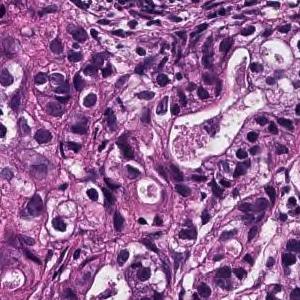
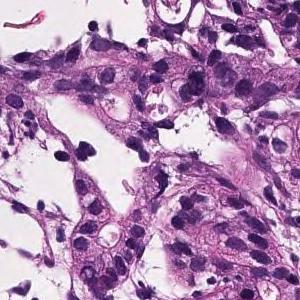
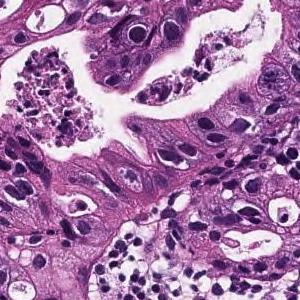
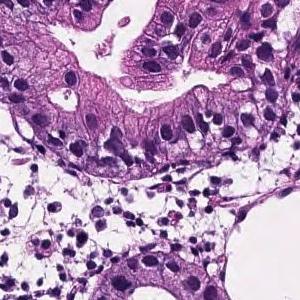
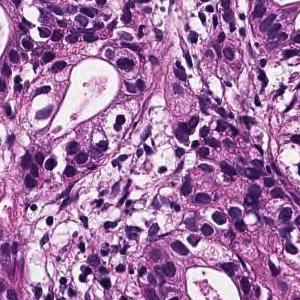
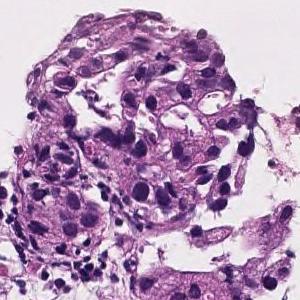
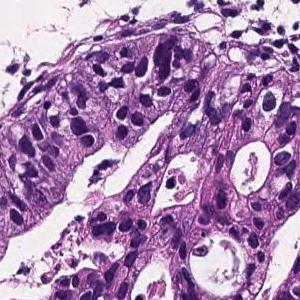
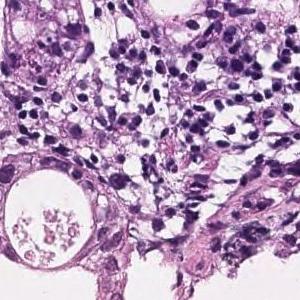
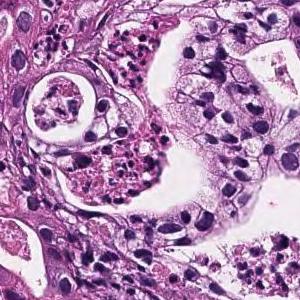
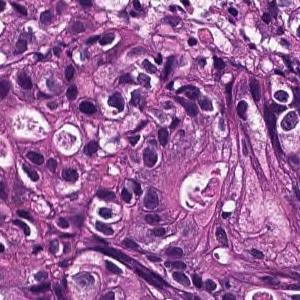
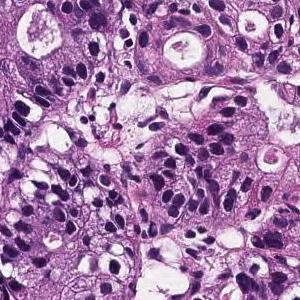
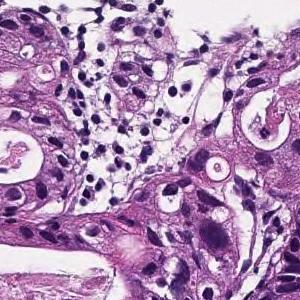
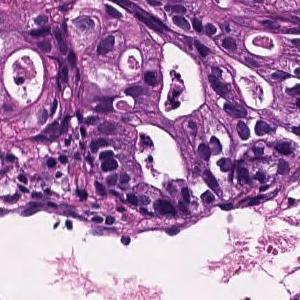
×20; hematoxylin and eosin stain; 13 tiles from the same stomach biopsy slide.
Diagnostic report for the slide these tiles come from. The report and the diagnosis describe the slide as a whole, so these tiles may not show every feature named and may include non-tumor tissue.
From the superficial epithelium to the muscularis mucosae, tumor tissue infiltrating by forming medium-sized irregular gland ducts is observed. Large tumor cells exhibit large nucleus and hyperchromatism. Well differentiated tubular adenocarcinoma
